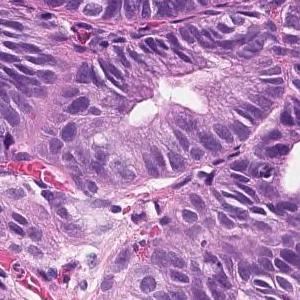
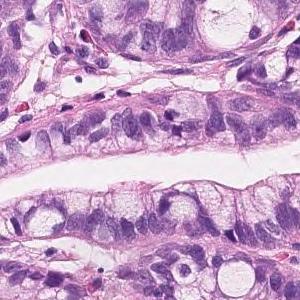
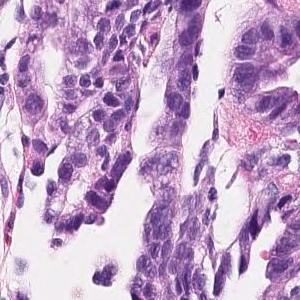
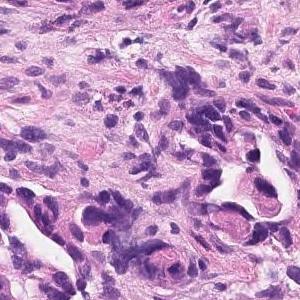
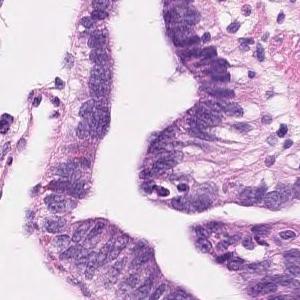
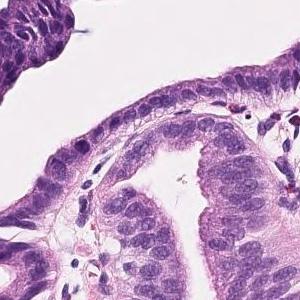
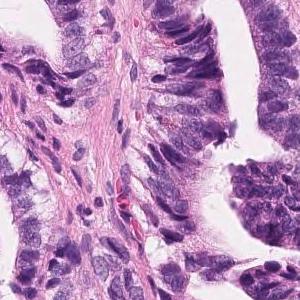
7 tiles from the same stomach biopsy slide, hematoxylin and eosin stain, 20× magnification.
Pathology report for the slide these tiles were cut from. The report describes the whole slide, diagnosis included: not every finding it names need appear in these tiles, which may also show non-tumor tissue.
Tumor cells are large, highly columnar, large club-shaped nuclei, and are associated with chromatin aggregation. Papillary adenocarcinoma.
